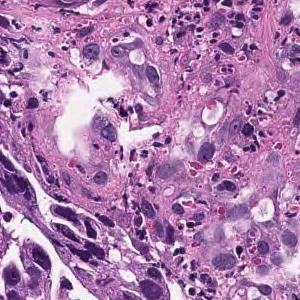
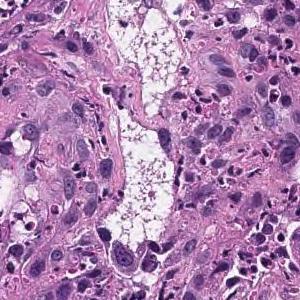
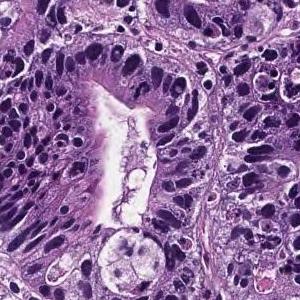
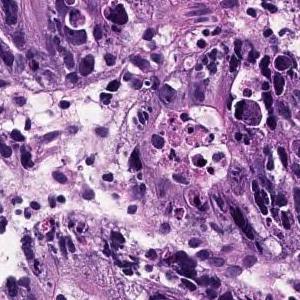
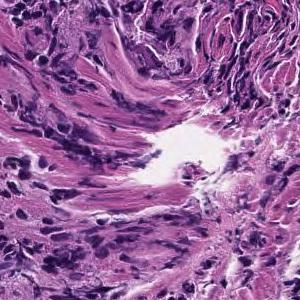
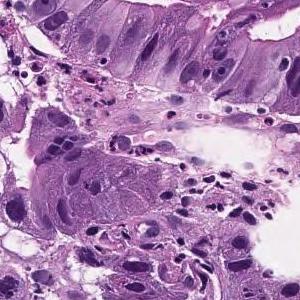
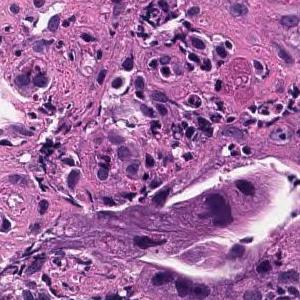
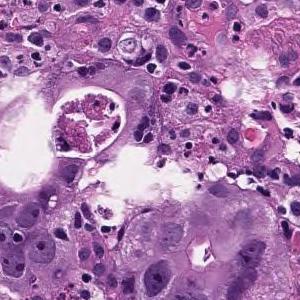
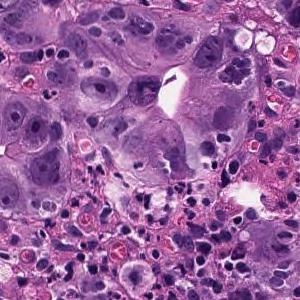
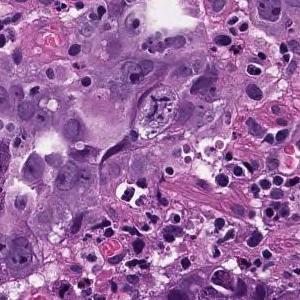
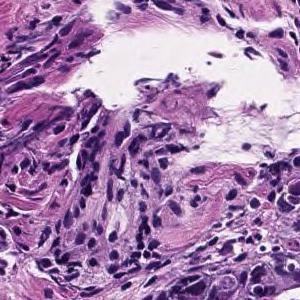
11 tiles cut from one stomach biopsy slide · ×20 · H&E.
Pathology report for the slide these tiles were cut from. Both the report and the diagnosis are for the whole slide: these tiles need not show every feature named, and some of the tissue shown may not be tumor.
In the superficial epithelium, medium to small irregular gland ducts are formed, and in some cases, the ducts are fused to show solid alveolar lesions and infiltrating tumor tissue is observed. Moderately to poorly differentiated adenocarcinoma
